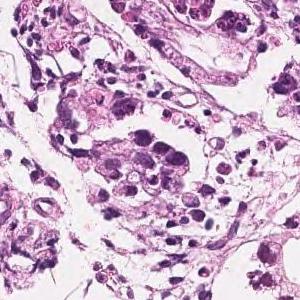
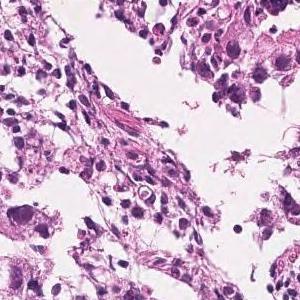
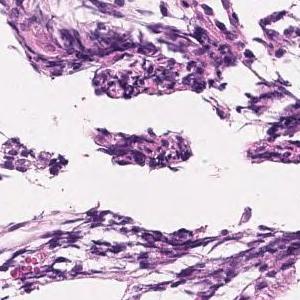
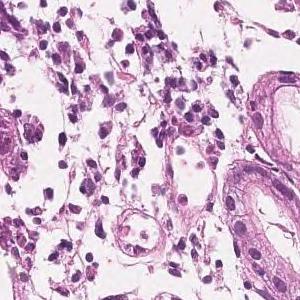
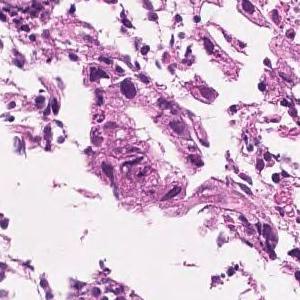
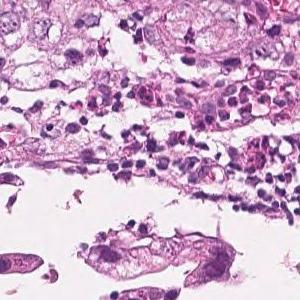
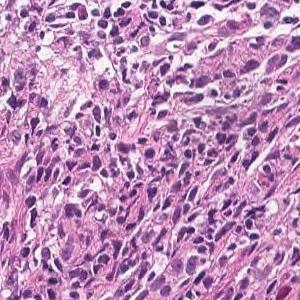
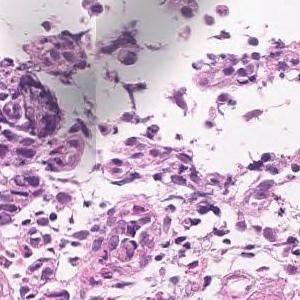
Hematoxylin and eosin stain; 20× magnification; 8 patches cut from one gastric biopsy slide.
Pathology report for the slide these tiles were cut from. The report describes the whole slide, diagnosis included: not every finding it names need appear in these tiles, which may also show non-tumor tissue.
In the superficial epithelium, medium to small, irregular glandular ducts are formed, and in some parts, the glandular ducts are fused, and in other parts, small cord-like infiltrating tumor tissue is observed. Moderately to poorly differentiated adenocarcinoma.
